20× magnification · H&E · 7 tiles from the same stomach biopsy slide · 300 × 300 pixels each.
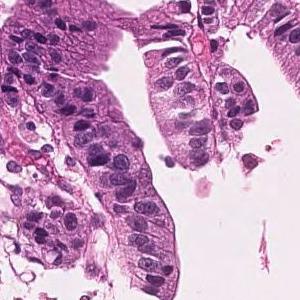
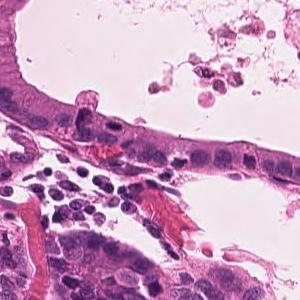
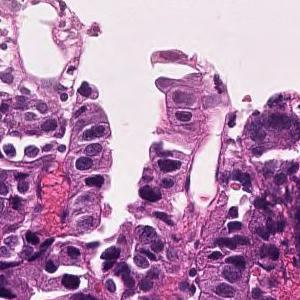
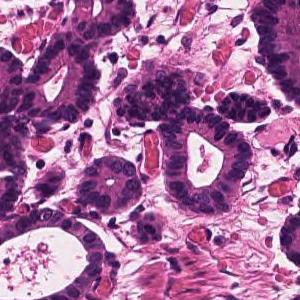
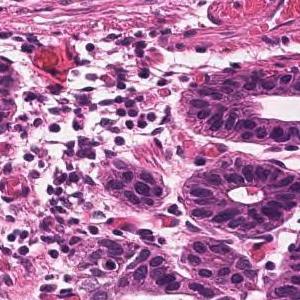
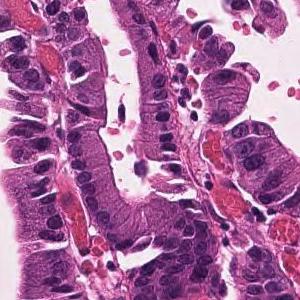
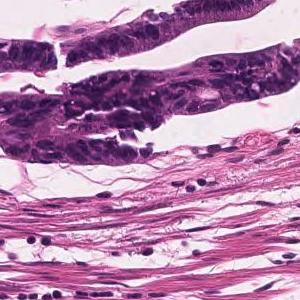
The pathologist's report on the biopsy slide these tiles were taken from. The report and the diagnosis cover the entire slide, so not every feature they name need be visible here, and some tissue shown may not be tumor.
Infiltrating tumor tissue with medium-sized, irregular ductal structure or large papillary appearance is observed. Well differentiated tubular adenocarcinoma
